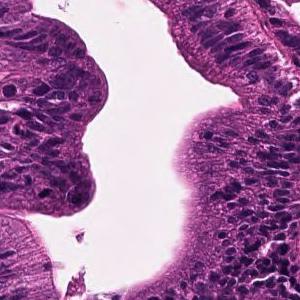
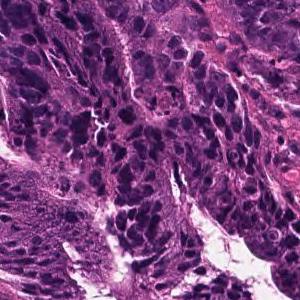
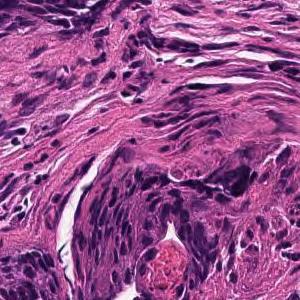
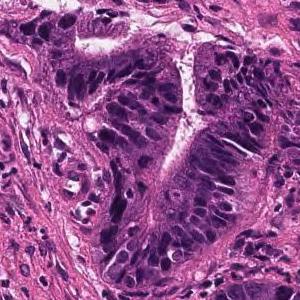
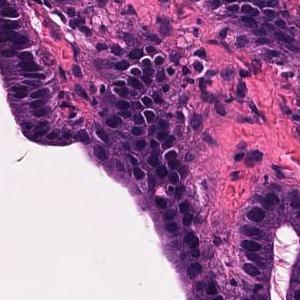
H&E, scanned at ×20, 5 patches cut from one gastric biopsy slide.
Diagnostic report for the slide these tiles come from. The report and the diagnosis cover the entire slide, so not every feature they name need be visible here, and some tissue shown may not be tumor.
Tumor tissue that remains within the superficial epithelium and is infiltrated by large papillary or irregular ducts that fuse with each other is observed. Well differentiated tubular adenocarcinoma
